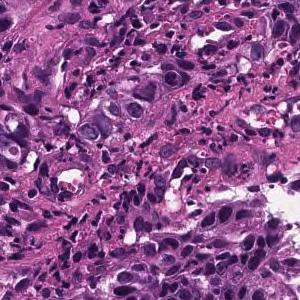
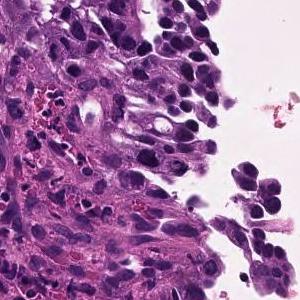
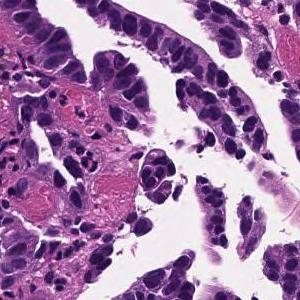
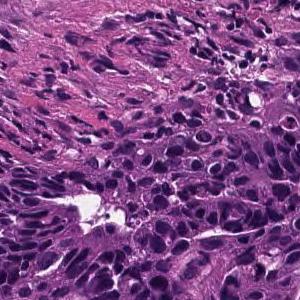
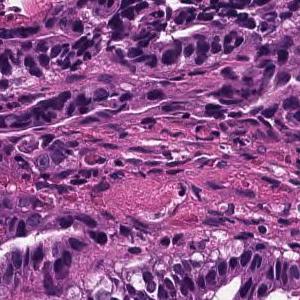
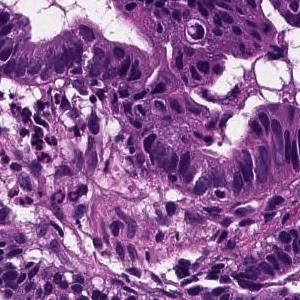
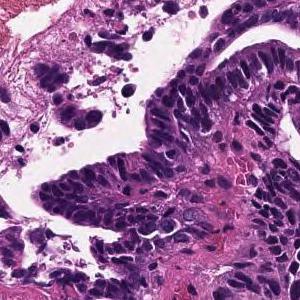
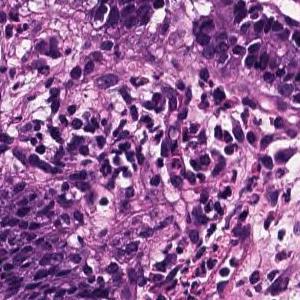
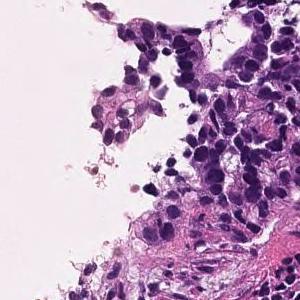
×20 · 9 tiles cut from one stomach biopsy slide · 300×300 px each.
Pathology report for the slide these tiles were cut from. Both the report and the diagnosis are for the whole slide: these tiles need not show every feature named, and some of the tissue shown may not be tumor.
Tumor cells are large, highly columnar, large club-shaped nuclei, and are associated with chromatin aggregation. Papillary adenocarcinoma.
